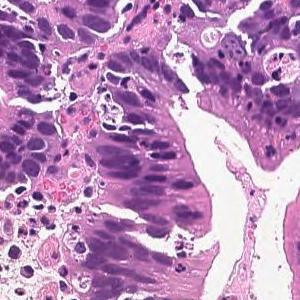
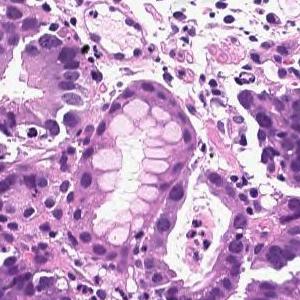
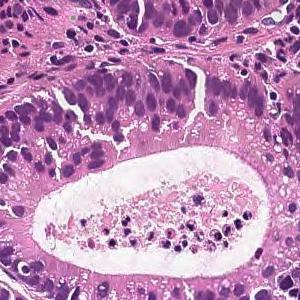
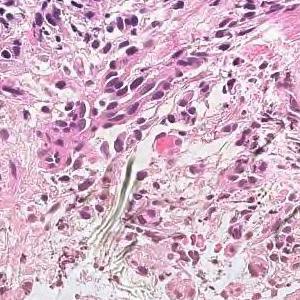
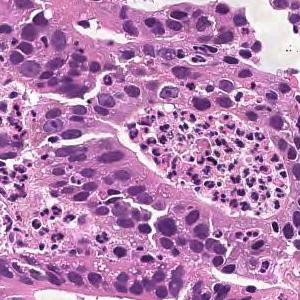
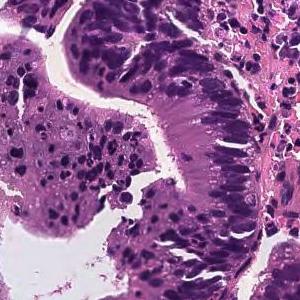
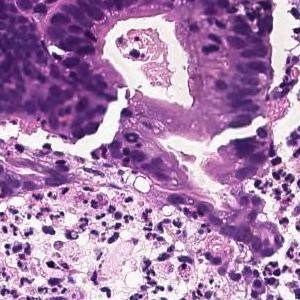
Hematoxylin and eosin stain; 7 tiles cut from one stomach biopsy slide.
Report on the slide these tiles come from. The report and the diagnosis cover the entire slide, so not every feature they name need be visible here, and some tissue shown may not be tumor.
On the superficial epithelium, tumor tissue consisting of large irregular glandular ducts partially fused and infiltrated is observed. Well to moderately differentiated tubular adenocarcinoma (well differentiated tubular adenocarcinoma, moderately differentiated tubular adenocarcinoma)
Histologic type: Well to moderately differentiated tubular adenocarcinoma.
